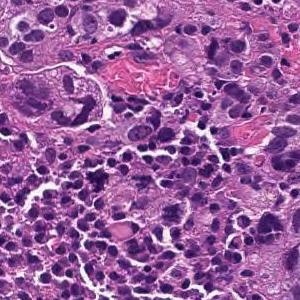
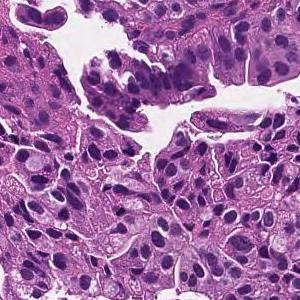
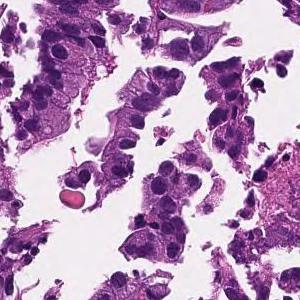
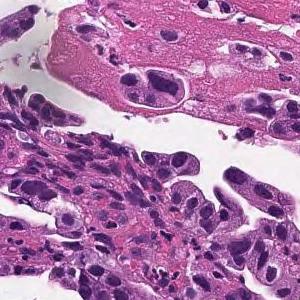
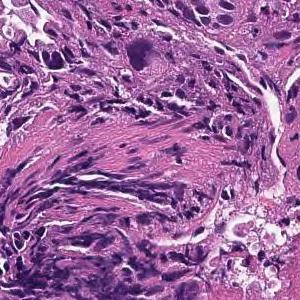
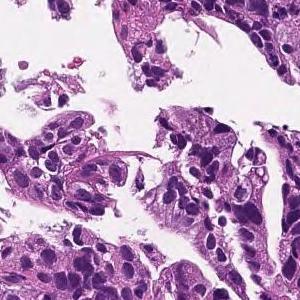
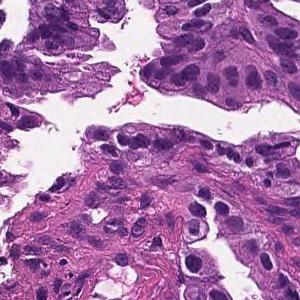
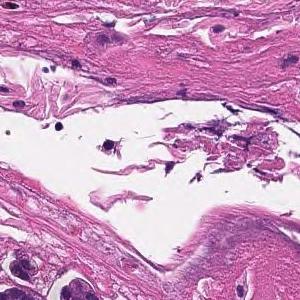
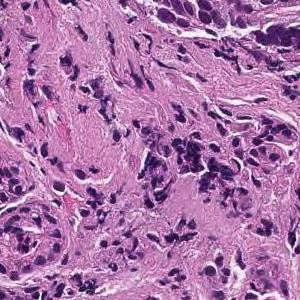
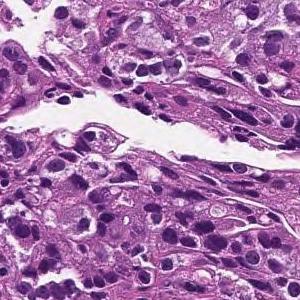
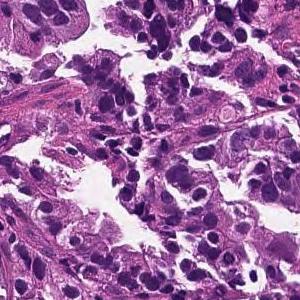
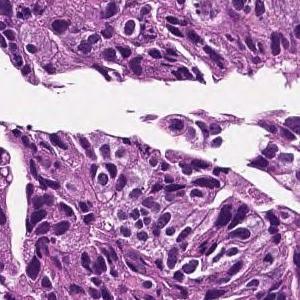
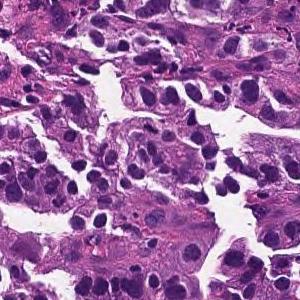
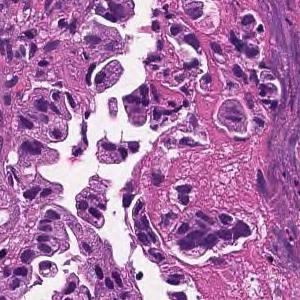
14 image tiles from a single gastric biopsy slide · 300 × 300 pixels each · H&E stain.
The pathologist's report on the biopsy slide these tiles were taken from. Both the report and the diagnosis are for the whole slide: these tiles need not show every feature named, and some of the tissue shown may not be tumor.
Medium to small, irregular glandular ducts are formed in the superficial epithelium, and in some cases, the glandular ducts are fused to show solid alveolar lesions and infiltrating tumor tissue is observed. Moderately to poorly differentiated adenocarcinoma.
